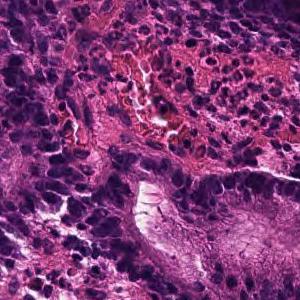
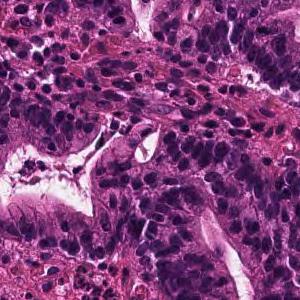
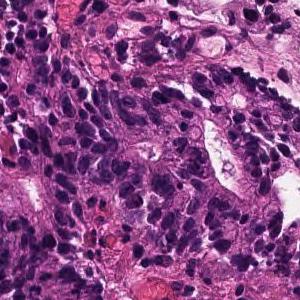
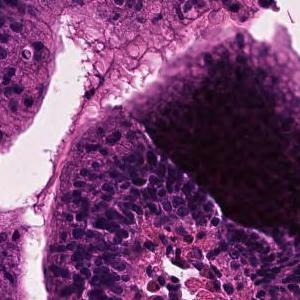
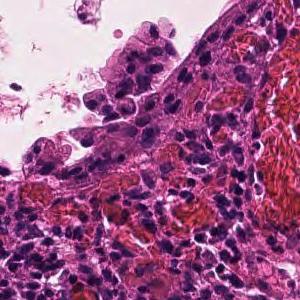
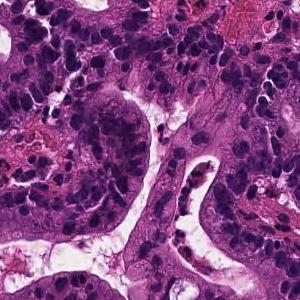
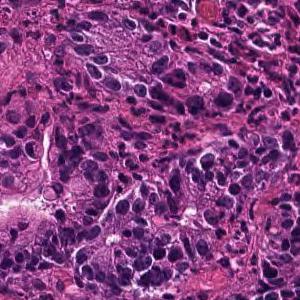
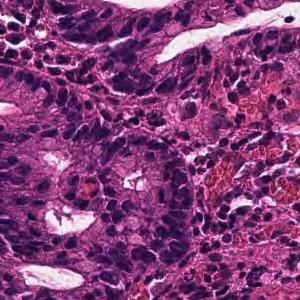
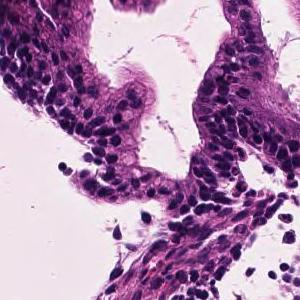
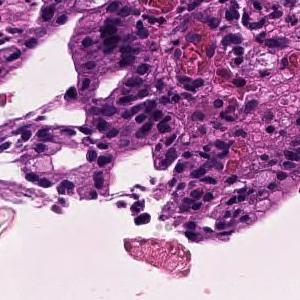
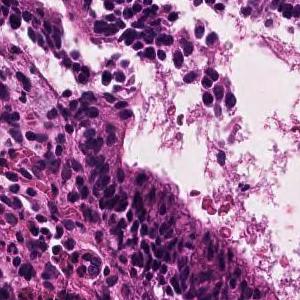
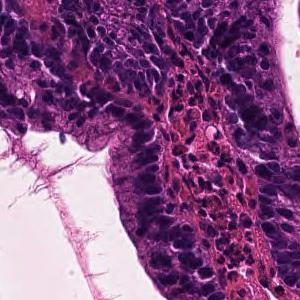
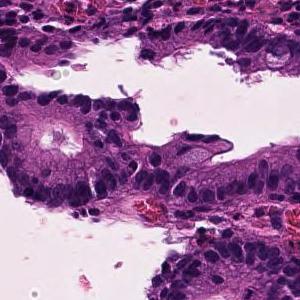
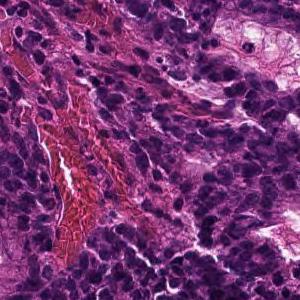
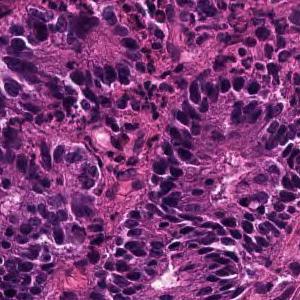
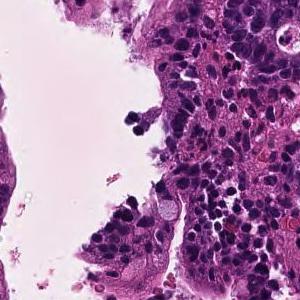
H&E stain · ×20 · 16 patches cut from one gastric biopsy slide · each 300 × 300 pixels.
Pathology report for the slide these tiles were cut from. Both the report and the diagnosis are for the whole slide: these tiles need not show every feature named, and some of the tissue shown may not be tumor.
In the superficial epithelium, tumor tissue that invades by forming medium-sized to small, irregular ducts is observed. moderately differentiated tubular adenocarcinoma.
